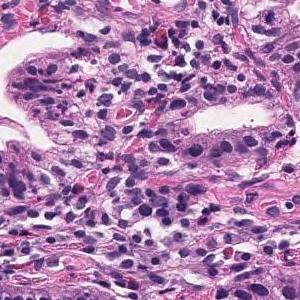
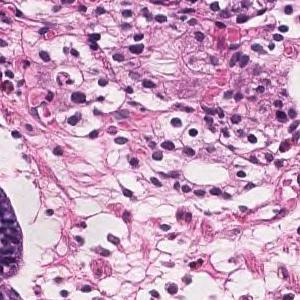
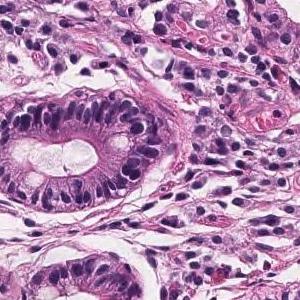
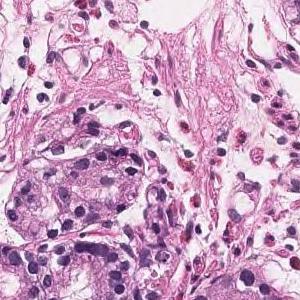
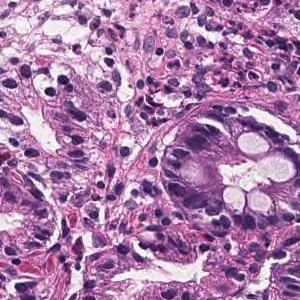
Hematoxylin and eosin stain; 20× magnification; 5 tiles from the same stomach biopsy slide; each 300 × 300 pixels.
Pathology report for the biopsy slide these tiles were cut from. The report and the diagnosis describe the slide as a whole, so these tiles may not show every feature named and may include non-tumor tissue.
On the superficial epithelium, tumor tissue consisting of large, irregular glandular ducts partially fused and infiltrated is observed. Well differentiated tubular adenocarcinoma
